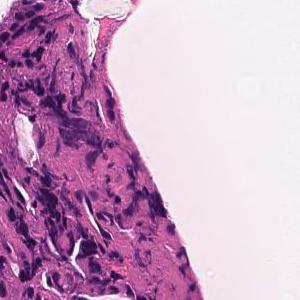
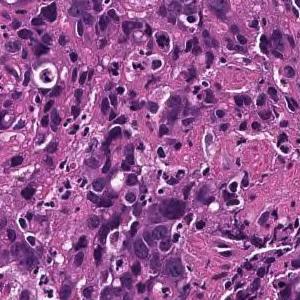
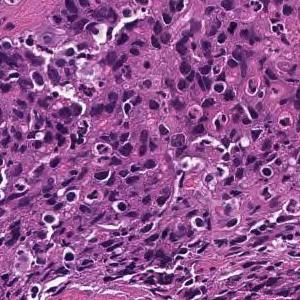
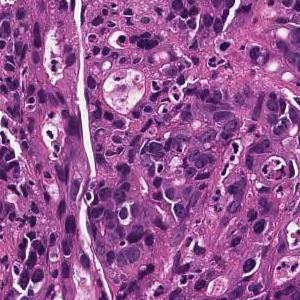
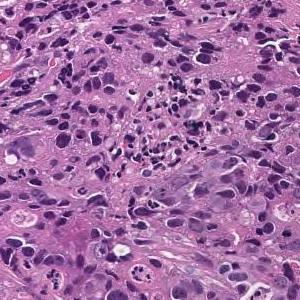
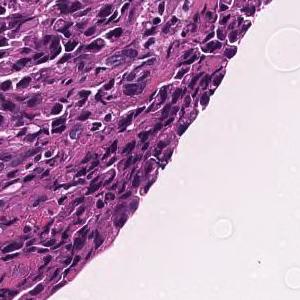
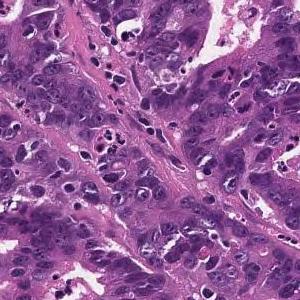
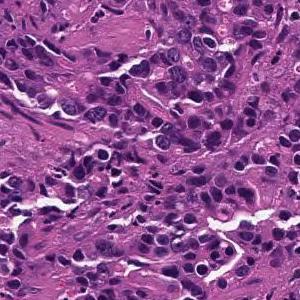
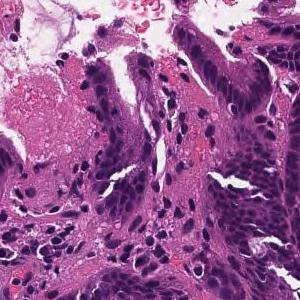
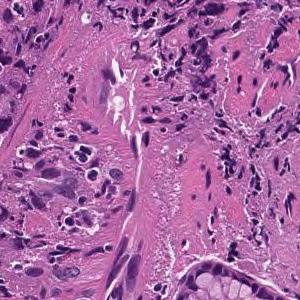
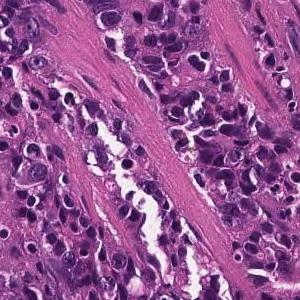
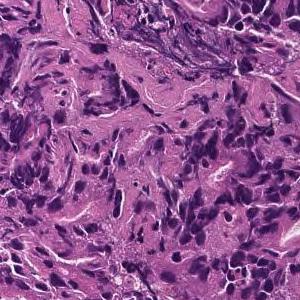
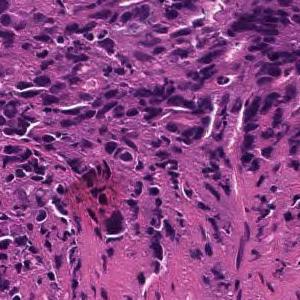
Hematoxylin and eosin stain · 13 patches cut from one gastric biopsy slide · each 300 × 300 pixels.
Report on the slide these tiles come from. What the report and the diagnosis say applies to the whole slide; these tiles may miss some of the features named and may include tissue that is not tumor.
In the superficial epithelium, tumor tissue that invades by forming medium-sized to small, irregular ducts is observed. moderately differentiated tubular adenocarcinoma.
